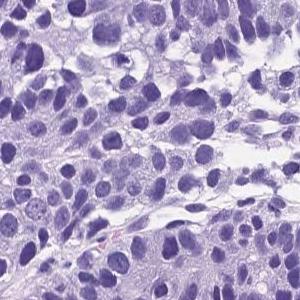
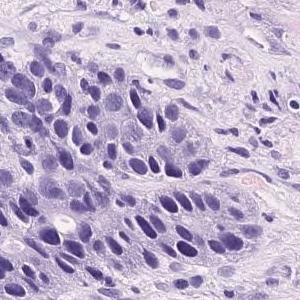
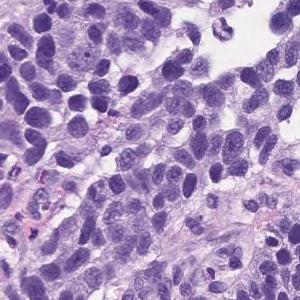
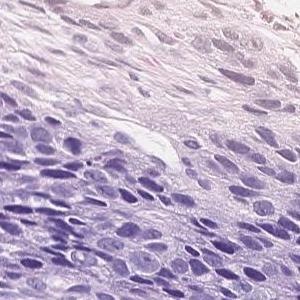
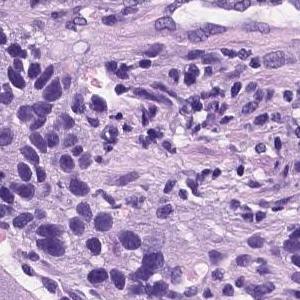
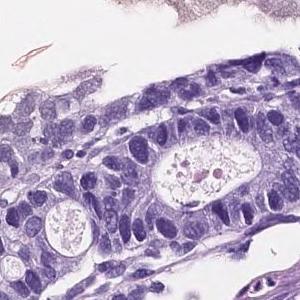
Scanned at ×20 · H&E · 6 patches cut from one gastric biopsy slide.
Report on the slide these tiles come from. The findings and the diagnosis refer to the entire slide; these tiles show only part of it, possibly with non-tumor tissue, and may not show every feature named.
Atypical cells with atypical nuclei forming small irregular atypical ducts and growing in a conformative manner. moderately differentiated tubular adenocarcinoma
The dataset labels this slide moderately to poorly differentiated adenocarcinoma.
